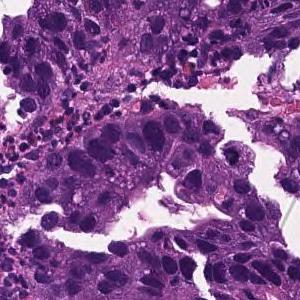
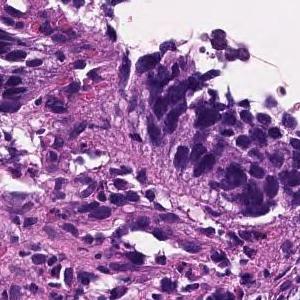
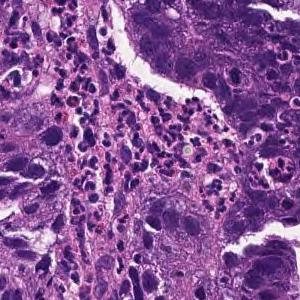
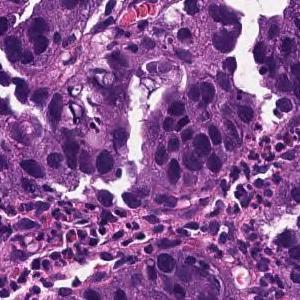
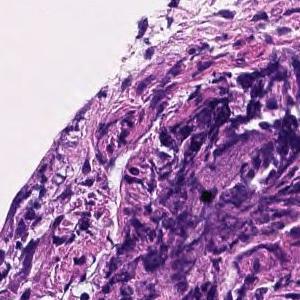
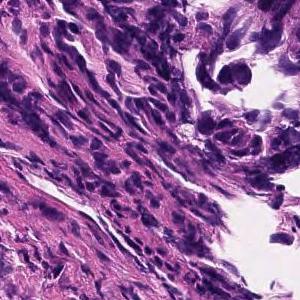
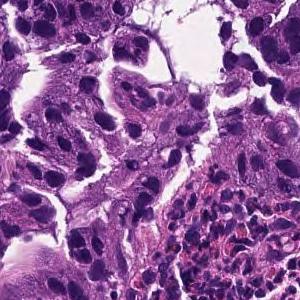
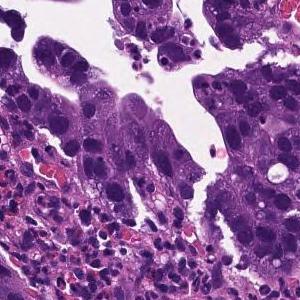
H&E · ×20 · 8 image tiles from a single gastric biopsy slide · 300×300 px each.
The pathologist's report on the biopsy slide these tiles were taken from. The report and the diagnosis describe the slide as a whole, so these tiles may not show every feature named and may include non-tumor tissue.
Tumor tissue consisting of large papillary structures is found in the superficial epithelium. Papillary adenocarcinoma.
